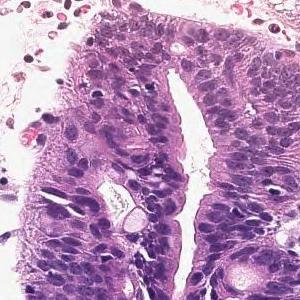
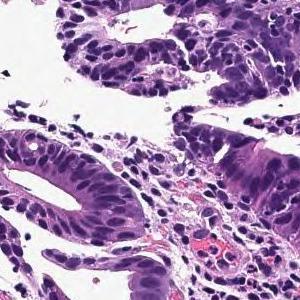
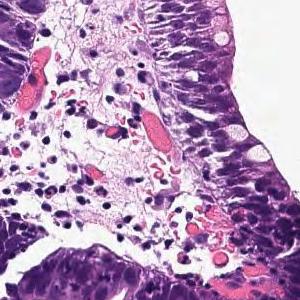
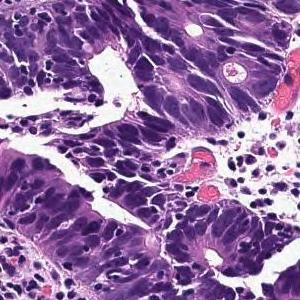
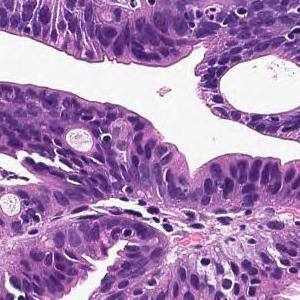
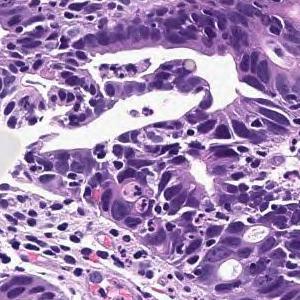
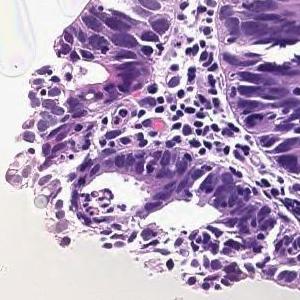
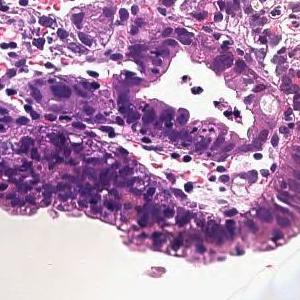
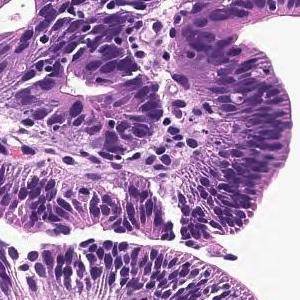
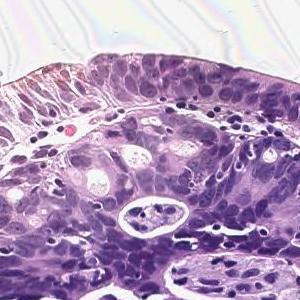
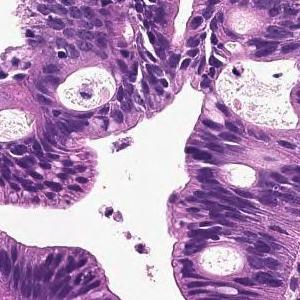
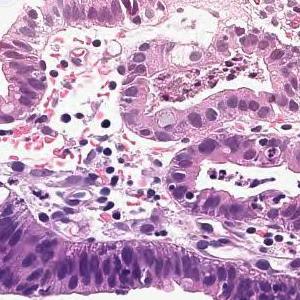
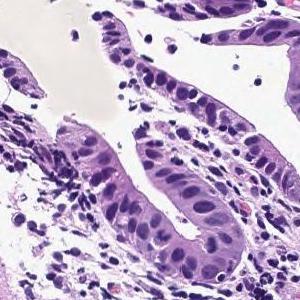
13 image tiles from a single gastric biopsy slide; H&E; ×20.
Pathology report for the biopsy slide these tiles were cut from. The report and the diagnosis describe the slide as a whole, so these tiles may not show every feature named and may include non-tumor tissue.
Infiltrating tumor tissue is observed in the superficial epithelium, showing large papillary structures or large and small ducts. Papillary adenocarcinoma
